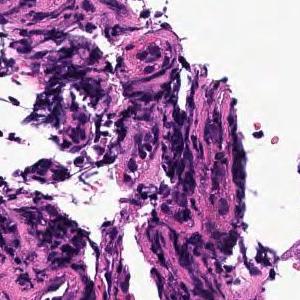
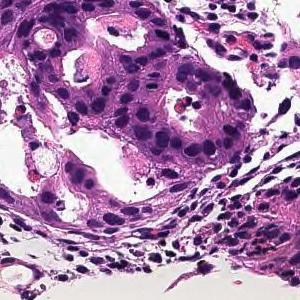
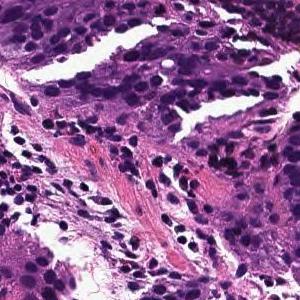
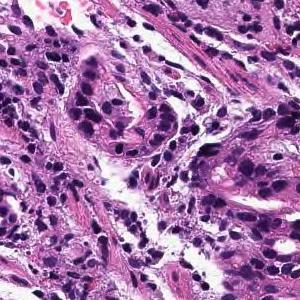
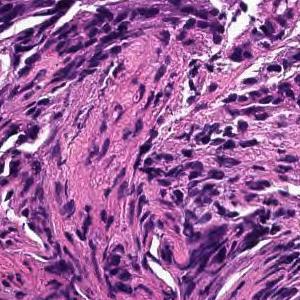
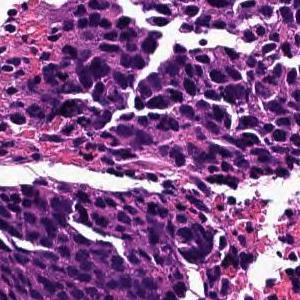
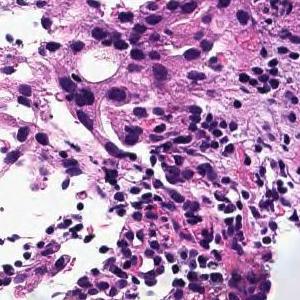
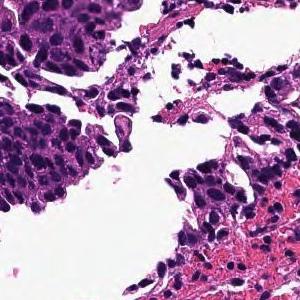
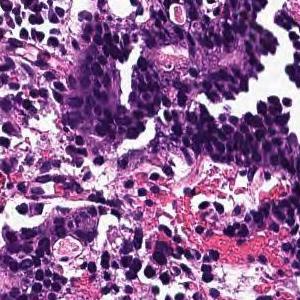
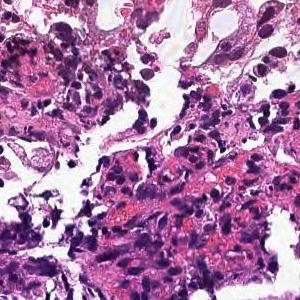
×20; H&E stain; 10 tiles from the same stomach biopsy slide; 300 × 300 pixels each.
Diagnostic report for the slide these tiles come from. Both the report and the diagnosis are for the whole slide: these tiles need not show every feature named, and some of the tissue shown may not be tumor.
In the superficial epithelium, tumor tissue that invades by forming medium-sized to small, irregular ducts is observed. moderately differentiated tubular adenocarcinoma.
